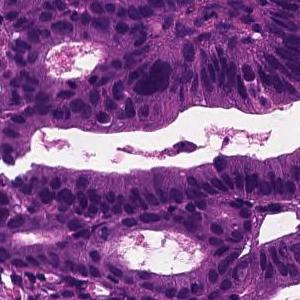
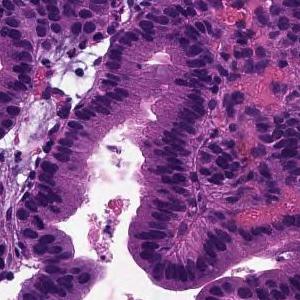
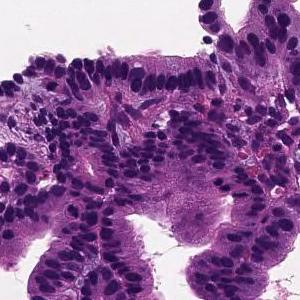
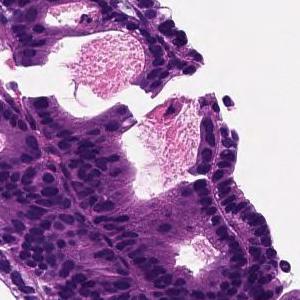
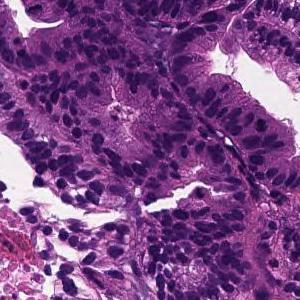
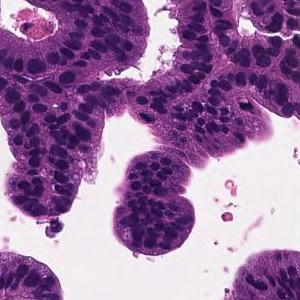
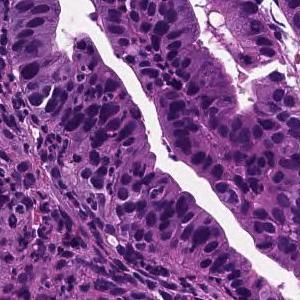
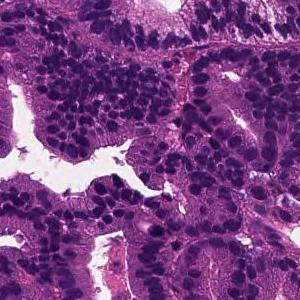
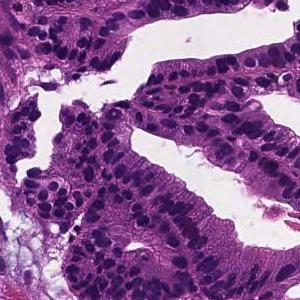
Scanned at ×20, hematoxylin and eosin stain, 9 tiles cut from one stomach biopsy slide, 300 × 300 pixels each.
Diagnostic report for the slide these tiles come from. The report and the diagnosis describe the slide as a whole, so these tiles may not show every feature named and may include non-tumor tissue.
Tumor cells are large, highly columnar, large club-shaped nuclei, and are associated with chromatin aggregation. Papillary adenocarcinoma.
